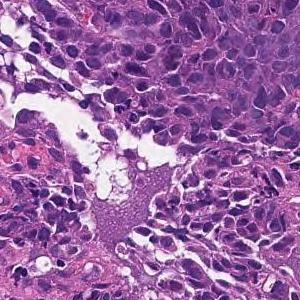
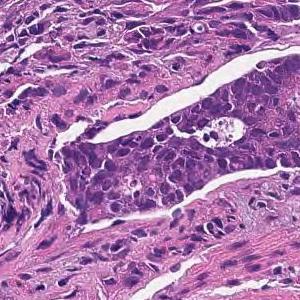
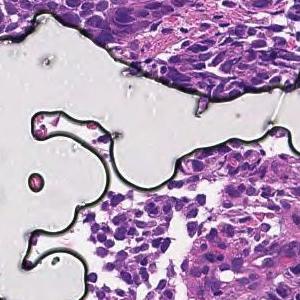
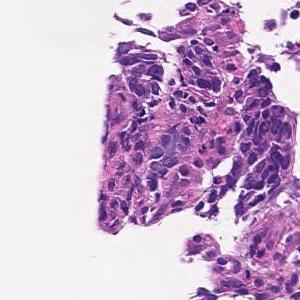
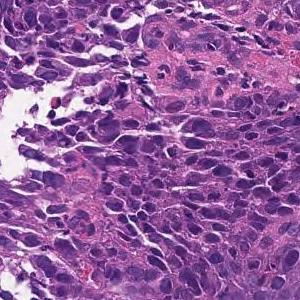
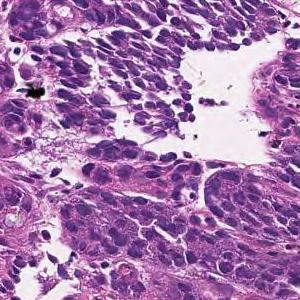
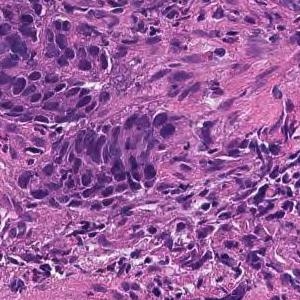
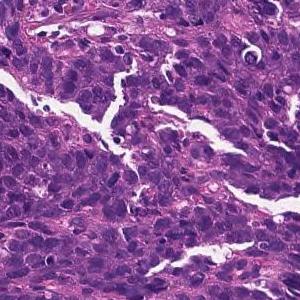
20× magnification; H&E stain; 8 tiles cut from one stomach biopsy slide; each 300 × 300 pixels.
The pathologist's report on the biopsy slide these tiles were taken from. The report and the diagnosis describe the slide as a whole, so these tiles may not show every feature named and may include non-tumor tissue.
Tumor tissue consisting of cord-like or small, irregular glandular ducts fused and infiltrated is observed in the superficial epithelium. Poorly differentiated adenocarcinoma, non-solid type
"Non-solid type" is a category of the Japanese Classification of Gastric Carcinoma.
